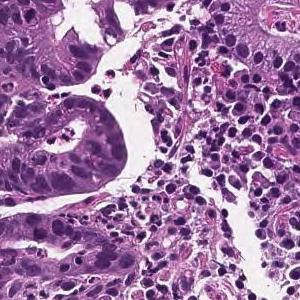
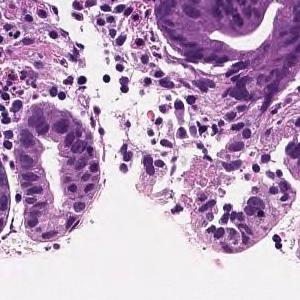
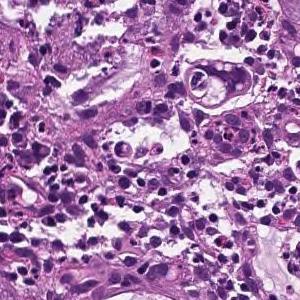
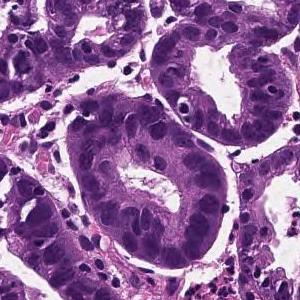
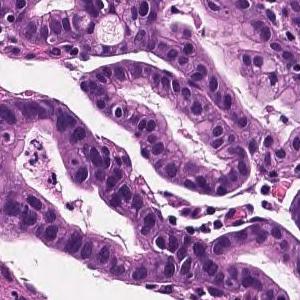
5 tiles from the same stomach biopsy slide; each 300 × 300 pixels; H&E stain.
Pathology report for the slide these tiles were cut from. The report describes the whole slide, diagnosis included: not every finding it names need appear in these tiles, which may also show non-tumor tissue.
On the superficial epithelium, tumor tissue consisting of medium-sized irregular or small round gland ducts showing a small cord-like shape and infiltrating is observed. Well differentiated tubular adenocarcinoma or Poorly differentiated adenocarcinoma, non-solid type
The dataset labels this slide well differentiated tubular adenocarcinoma.
The term "non-solid type" comes from the Japanese Classification of Gastric Carcinoma.
